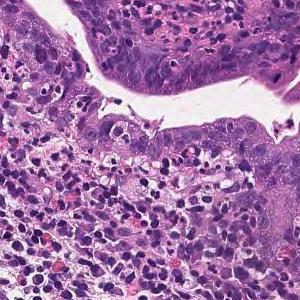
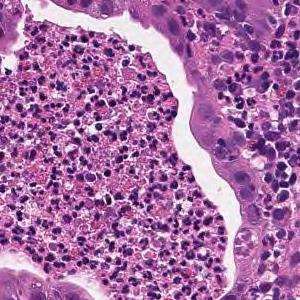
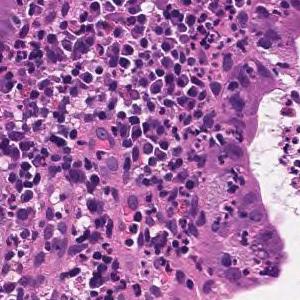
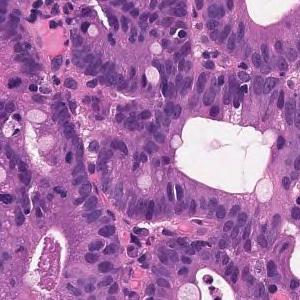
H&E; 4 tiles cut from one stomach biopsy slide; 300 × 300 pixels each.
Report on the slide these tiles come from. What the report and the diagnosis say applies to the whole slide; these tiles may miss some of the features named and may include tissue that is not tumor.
From the superficial epithelium to the muscularis mucosae, tumor tissue consisting of medium-sized and irregular glandular ducts infiltrating is observed. Well differentiated tubular adenocarcinoma
